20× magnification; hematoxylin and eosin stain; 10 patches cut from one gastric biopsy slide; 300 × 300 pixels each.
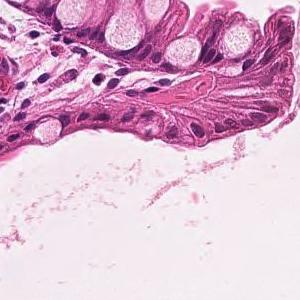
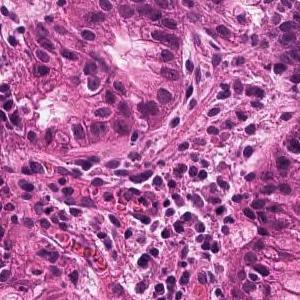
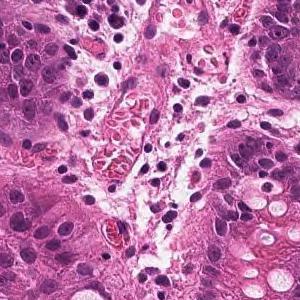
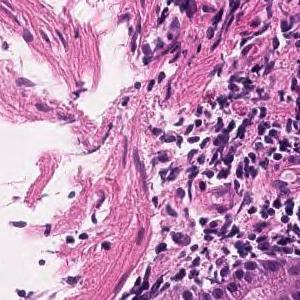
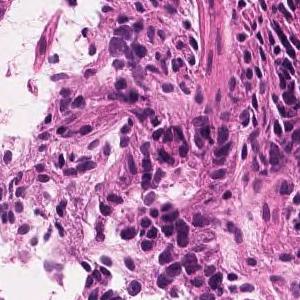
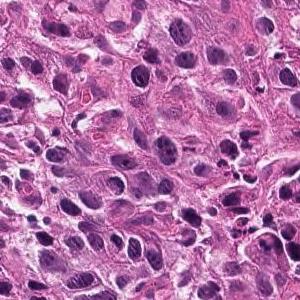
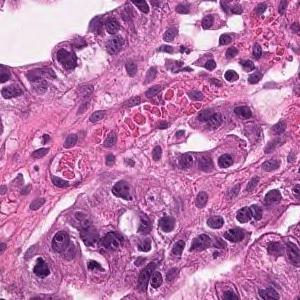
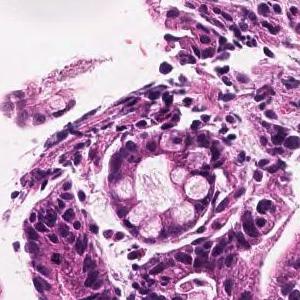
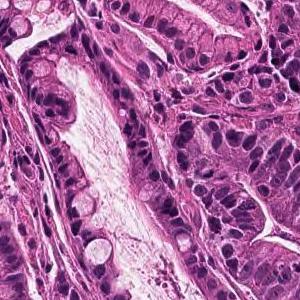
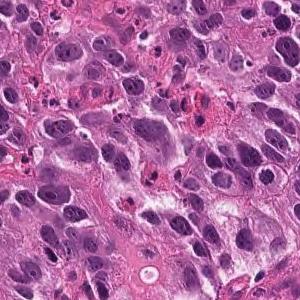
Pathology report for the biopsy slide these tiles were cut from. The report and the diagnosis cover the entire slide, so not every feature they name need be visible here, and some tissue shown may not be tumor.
Tumor tissue consisting of medium-sized, cord-like or irregular glandular infiltration is observed in the superficial epithelium. Poorly differentiated adenocarcinoma, non-solid type or moderately differentiated tubular adenocarcinoma
Histologic type: Moderately to poorly differentiated adenocarcinoma.
"Non-solid type" is a category of the Japanese Classification of Gastric Carcinoma.
